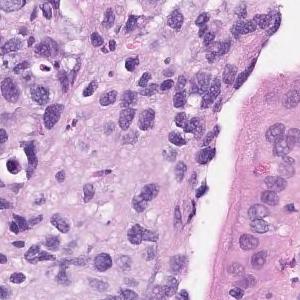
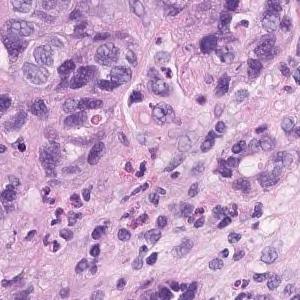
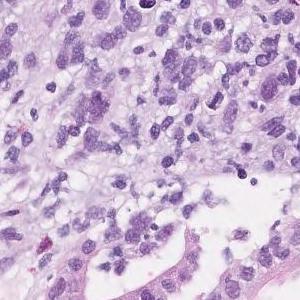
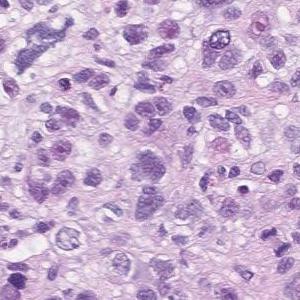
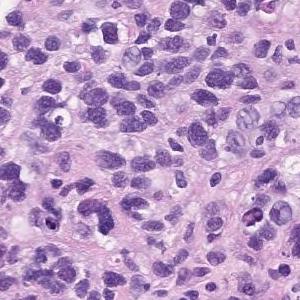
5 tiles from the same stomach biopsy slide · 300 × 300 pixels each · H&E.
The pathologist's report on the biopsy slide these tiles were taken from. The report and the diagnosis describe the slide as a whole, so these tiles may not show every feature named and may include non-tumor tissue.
Atypical l cells with atypical nuclei under the mucosa growing in isolation and scattered. Poorly differentiated adenocarcinoma (poorly differentiated adenocarcinoma, non-solid type)
Subtype: Poorly differentiated adenocarcinoma, non-solid type.
"Non-solid type" is a category of the Japanese Classification of Gastric Carcinoma.
